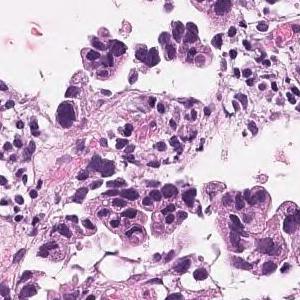
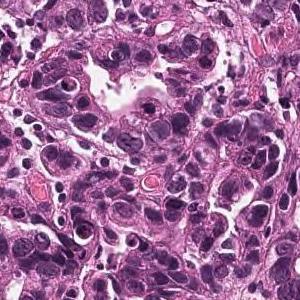
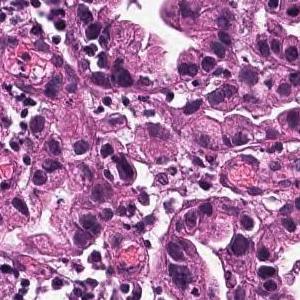
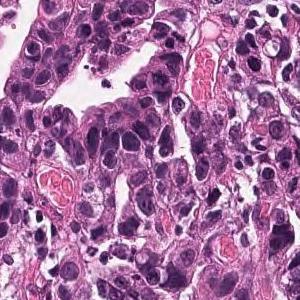
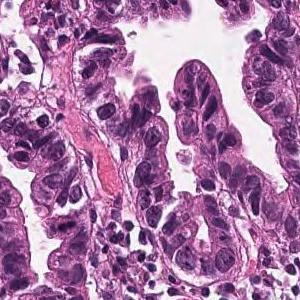
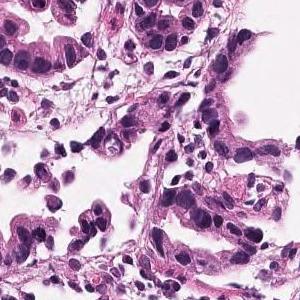
20× magnification, 6 tiles cut from one stomach biopsy slide, each 300 × 300 pixels.
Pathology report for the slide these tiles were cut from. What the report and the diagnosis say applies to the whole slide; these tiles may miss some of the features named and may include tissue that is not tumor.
Medium to small, irregular glandular ducts are formed in the superficial epithelium, and in some cases, the glandular ducts are fused to show solid alveolar lesions and infiltrating tumor tissue is observed. Moderately to poorly differentiated adenocarcinoma.
